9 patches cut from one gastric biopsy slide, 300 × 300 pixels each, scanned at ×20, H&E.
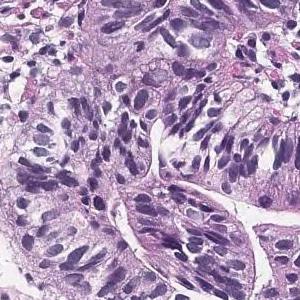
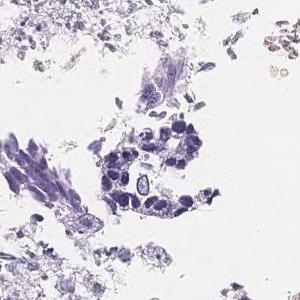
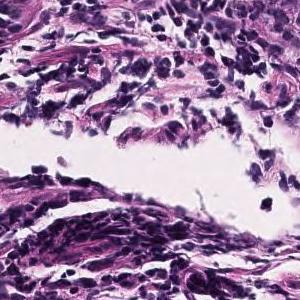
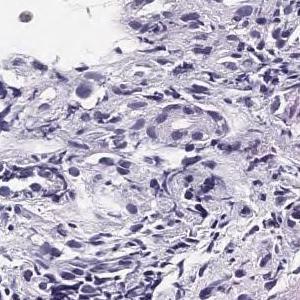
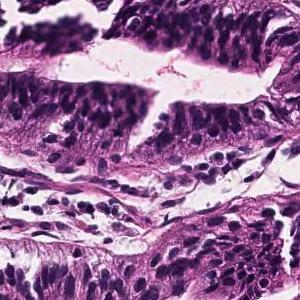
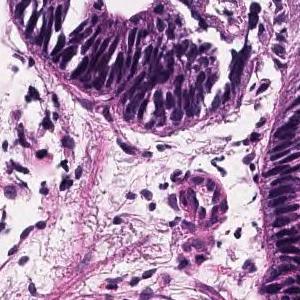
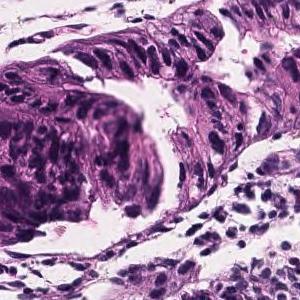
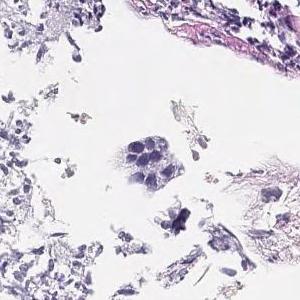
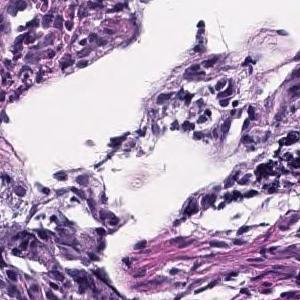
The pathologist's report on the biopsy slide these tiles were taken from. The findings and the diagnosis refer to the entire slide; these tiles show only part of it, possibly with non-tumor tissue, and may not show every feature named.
Tumor cells are large, highly columnar, large club-shaped nuclei, and are associated with chromatin aggregation. Papillary adenocarcinoma.
